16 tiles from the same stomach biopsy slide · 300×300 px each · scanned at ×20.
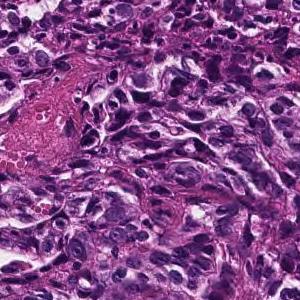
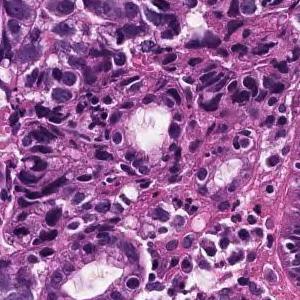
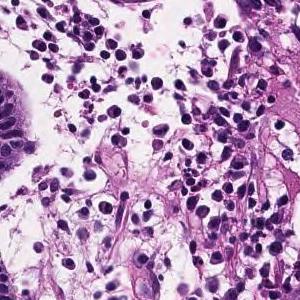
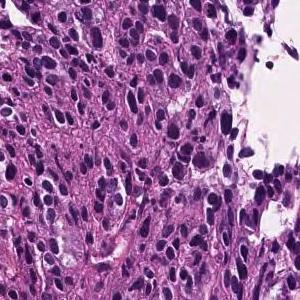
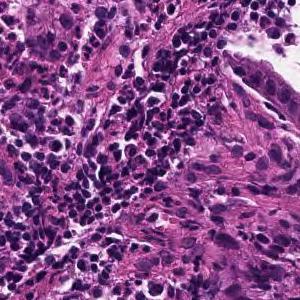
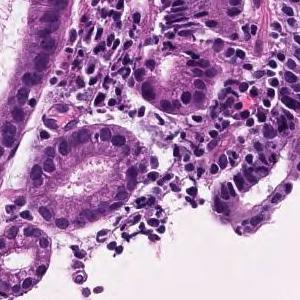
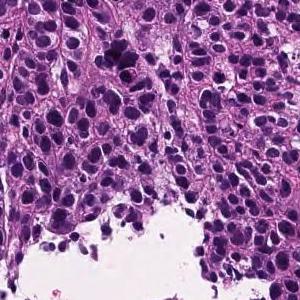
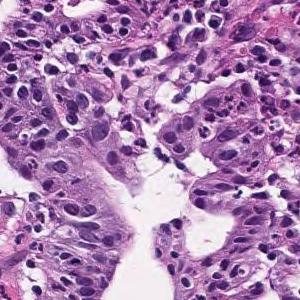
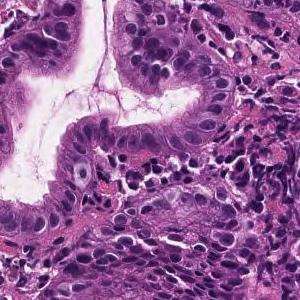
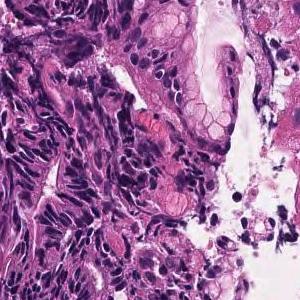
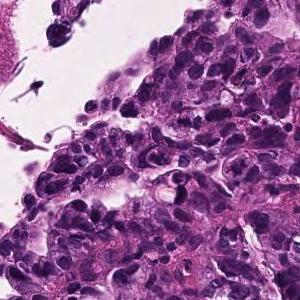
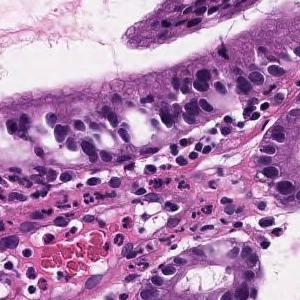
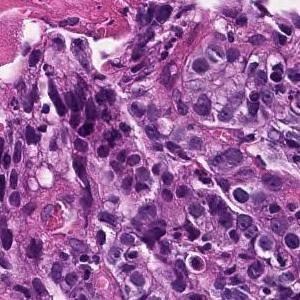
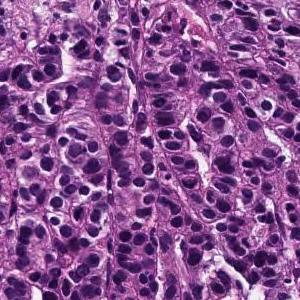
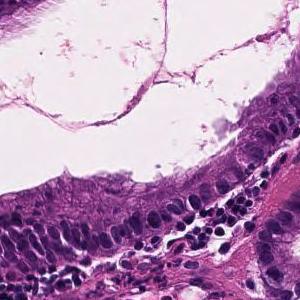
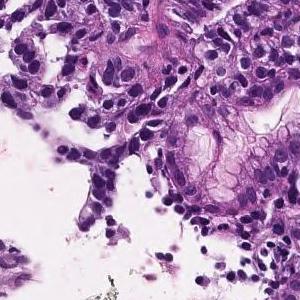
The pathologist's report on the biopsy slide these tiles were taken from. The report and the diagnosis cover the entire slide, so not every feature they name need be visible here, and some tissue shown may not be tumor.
In the superficial epithelium, tumor tissue that invades by forming medium-sized to small, irregular ducts is observed. moderately differentiated tubular adenocarcinoma.
